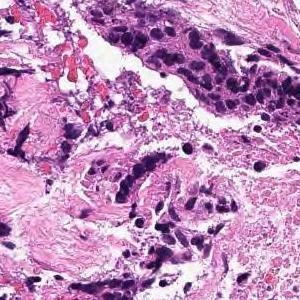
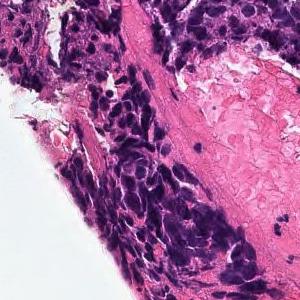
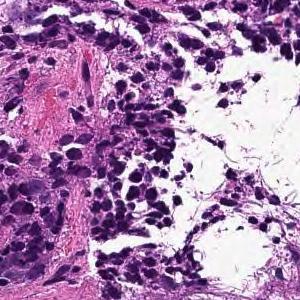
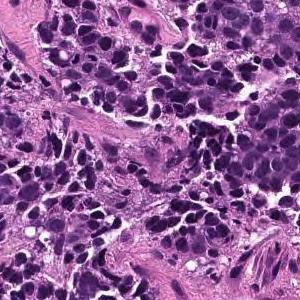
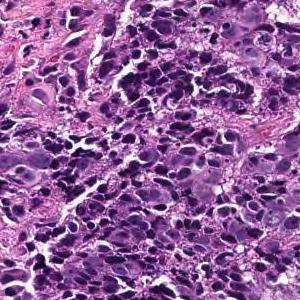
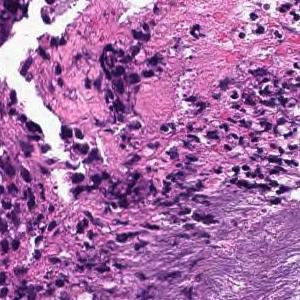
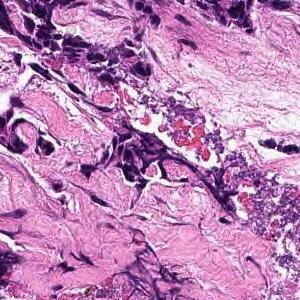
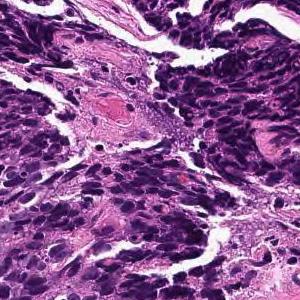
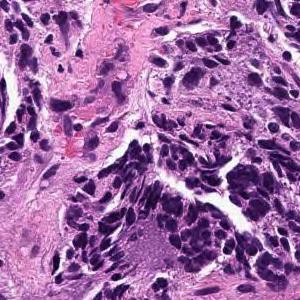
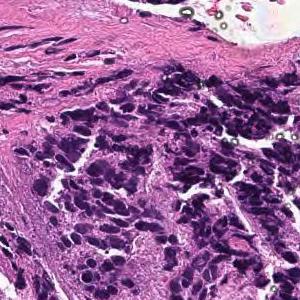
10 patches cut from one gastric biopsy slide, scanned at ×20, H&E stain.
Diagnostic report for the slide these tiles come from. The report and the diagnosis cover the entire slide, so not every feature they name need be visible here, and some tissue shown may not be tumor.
The superficial epithelium shows a large sheet or alveolar shape, and tumor tissue infiltrating without irregular ducts is observed. Poorly differentiated adenocarcinoma, solid-type
Histological subtype: Poorly differentiated adenocarcinoma, solid type (Japanese Classification of Gastric Carcinoma). The WHO 2019 equivalent is tubular adenocarcinoma, poorly differentiated.
